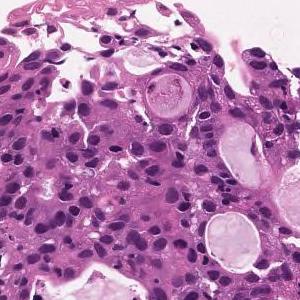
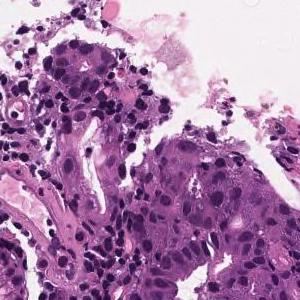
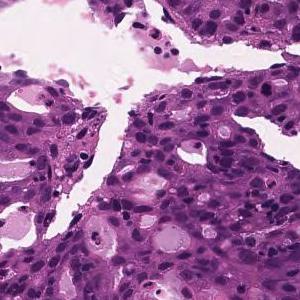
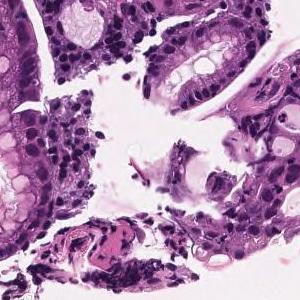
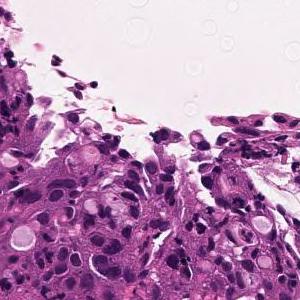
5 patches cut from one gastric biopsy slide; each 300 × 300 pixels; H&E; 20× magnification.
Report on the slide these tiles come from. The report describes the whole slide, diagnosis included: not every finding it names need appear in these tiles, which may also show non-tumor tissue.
Cells with atypical nuclei are densely hyperplasia while forming sieve-like ducts of various sizes. moderately differentiated tubular adenocarcinoma
